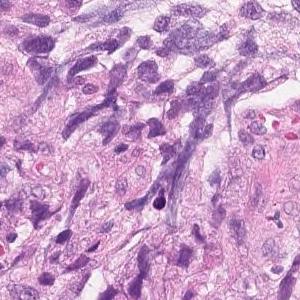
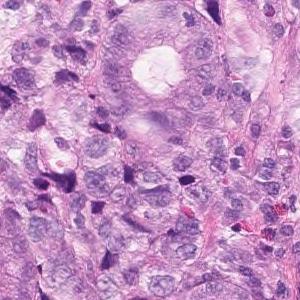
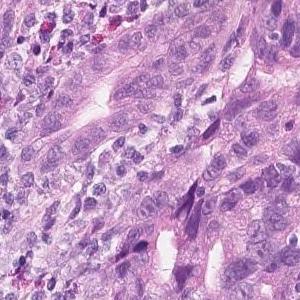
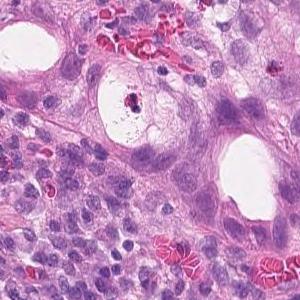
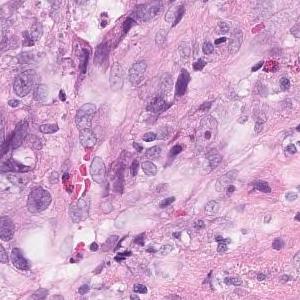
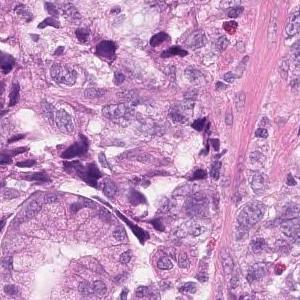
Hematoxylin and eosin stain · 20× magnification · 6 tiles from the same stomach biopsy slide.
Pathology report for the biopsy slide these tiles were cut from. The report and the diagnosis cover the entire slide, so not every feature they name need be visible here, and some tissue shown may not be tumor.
Tumor tissue showing dense, fused or diffuse, and infiltrative growth of small atypical ducts is observed. moderately differentiated tubular adenocarcinoma
